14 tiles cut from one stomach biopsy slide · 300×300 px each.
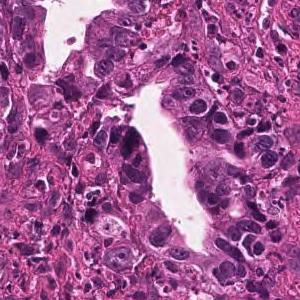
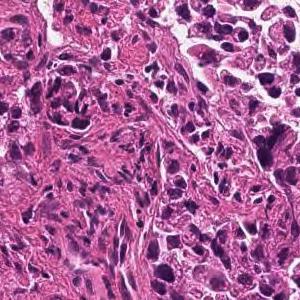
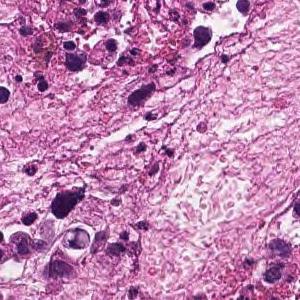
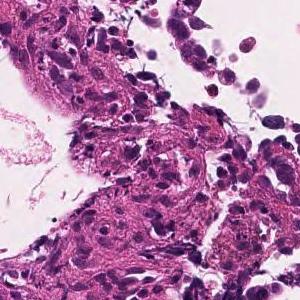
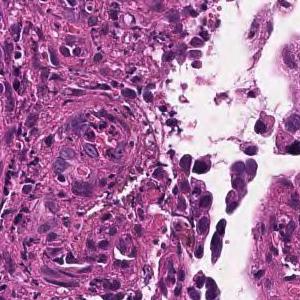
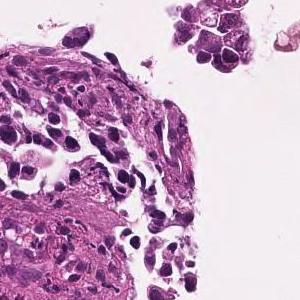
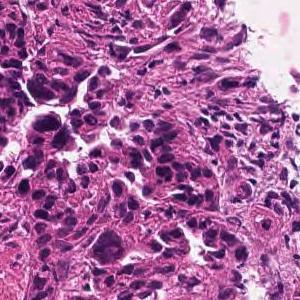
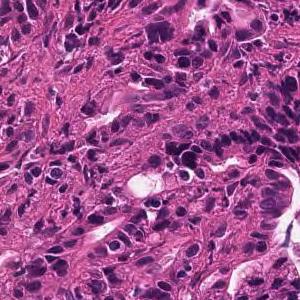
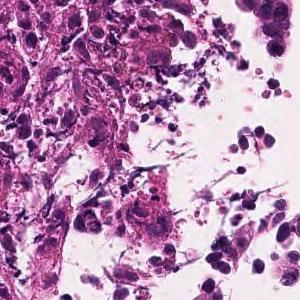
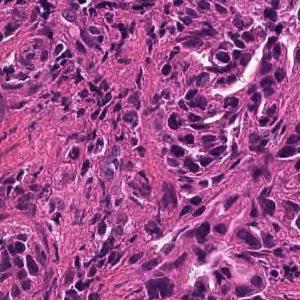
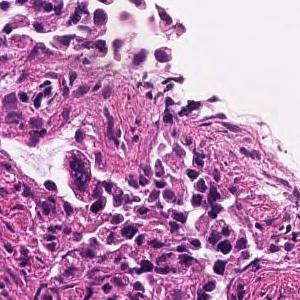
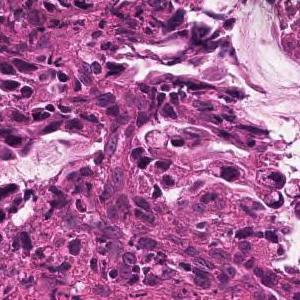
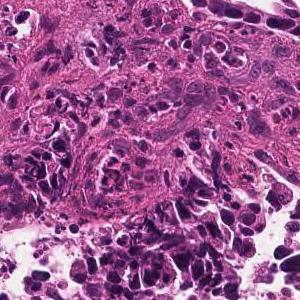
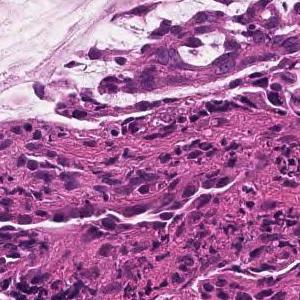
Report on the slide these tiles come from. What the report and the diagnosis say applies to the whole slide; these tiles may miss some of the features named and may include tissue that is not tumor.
In the superficial epithelium, tumor tissue that invades by forming medium-sized to small, irregular ducts is observed. moderately differentiated tubular adenocarcinoma.
